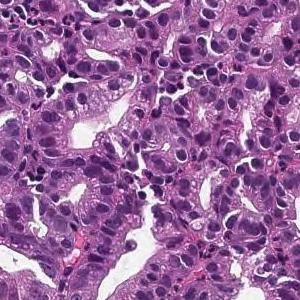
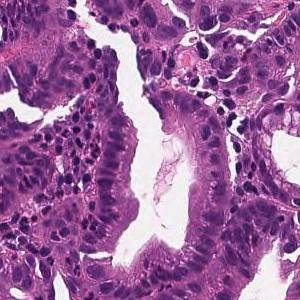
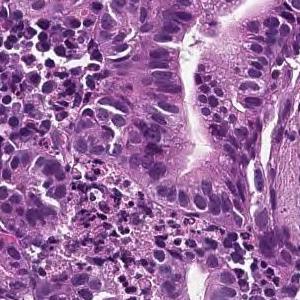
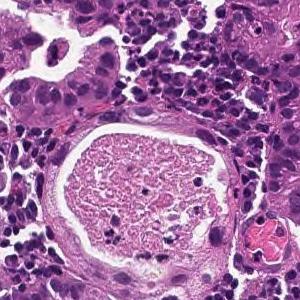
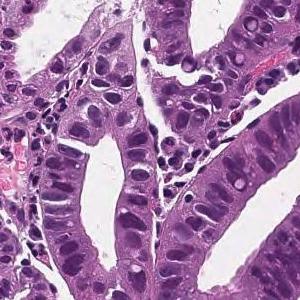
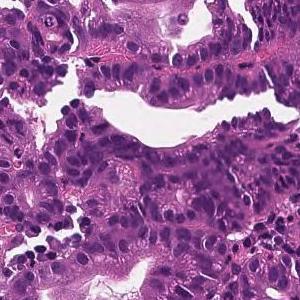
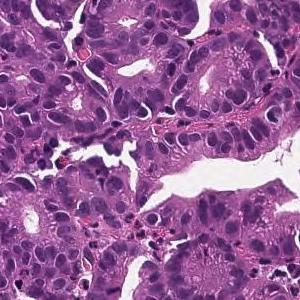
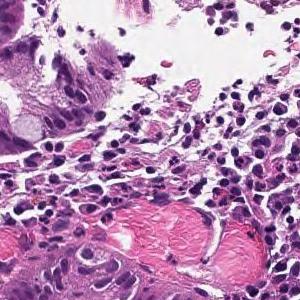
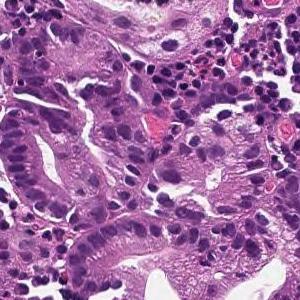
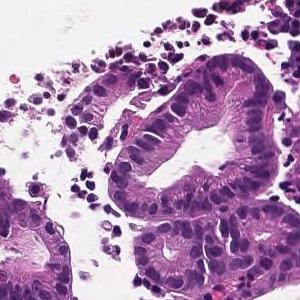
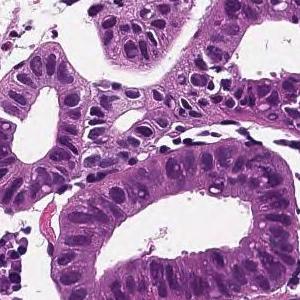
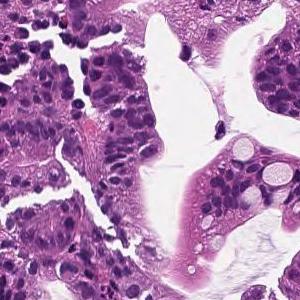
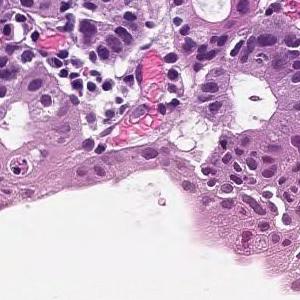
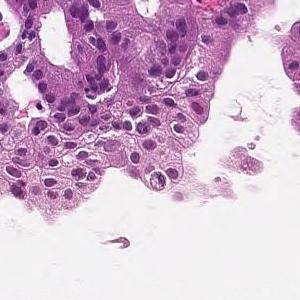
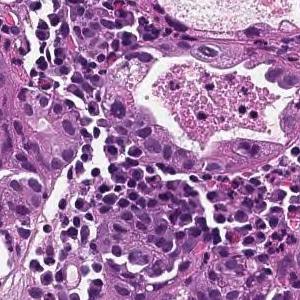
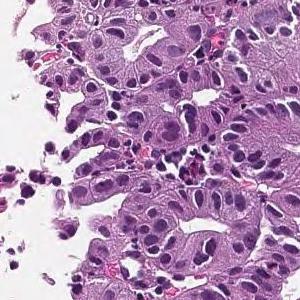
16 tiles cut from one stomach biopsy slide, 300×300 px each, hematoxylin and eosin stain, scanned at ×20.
Diagnostic report for the slide these tiles come from. The report and the diagnosis describe the slide as a whole, so these tiles may not show every feature named and may include non-tumor tissue.
From the superficial epithelium to the muscularis mucosae, tumor tissue consisting of medium-sized and irregular glandular ducts infiltrating is observed. Well differentiated tubular adenocarcinoma
